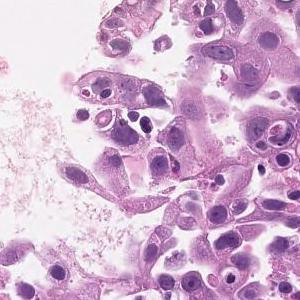
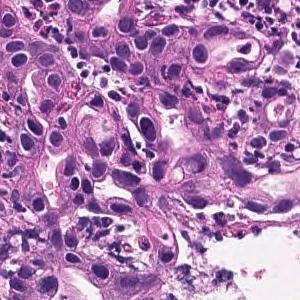
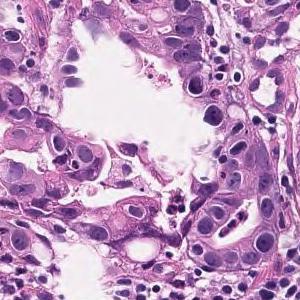
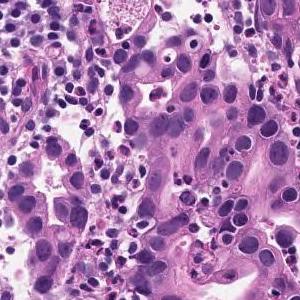
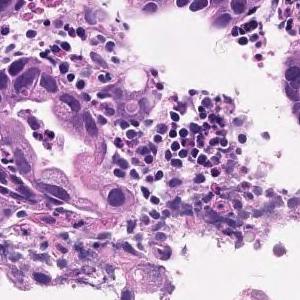
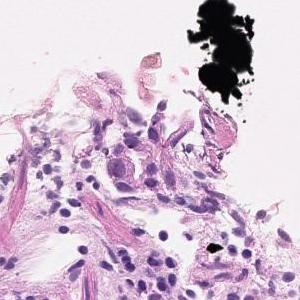
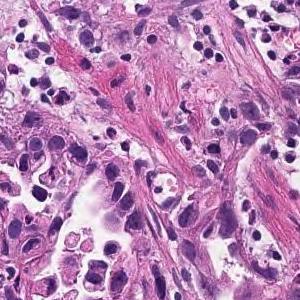
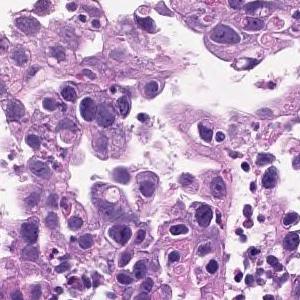
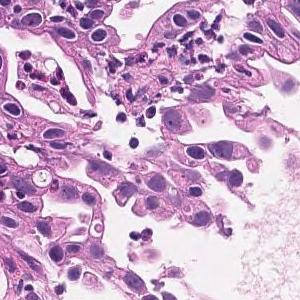
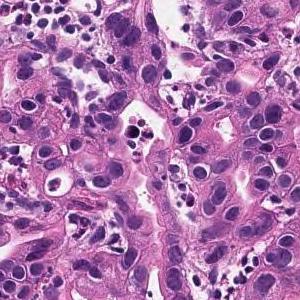
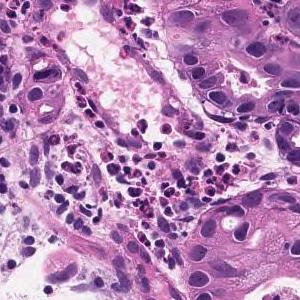
11 tiles cut from one stomach biopsy slide · 300 × 300 pixels each · H&E · scanned at ×20.
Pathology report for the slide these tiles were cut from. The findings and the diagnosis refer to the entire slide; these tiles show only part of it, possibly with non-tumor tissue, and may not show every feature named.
In the superficial epithelium, tumor tissue that invades by forming medium-sized to small, irregular ducts is observed. moderately differentiated tubular adenocarcinoma.
